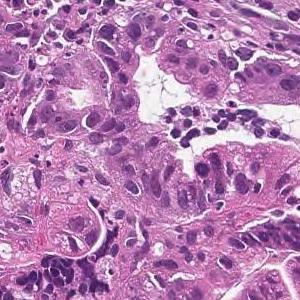
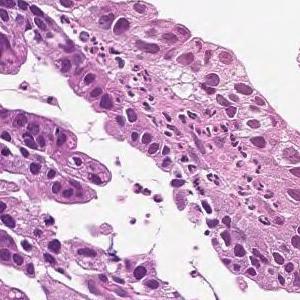
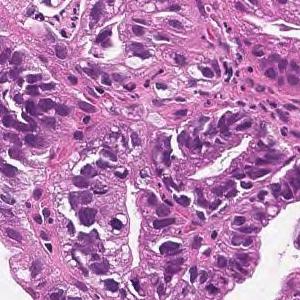
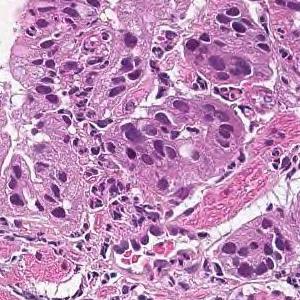
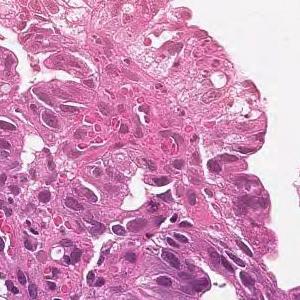
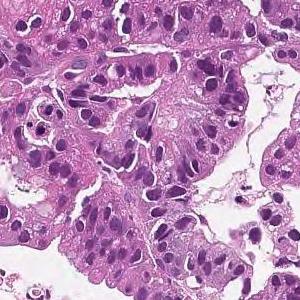
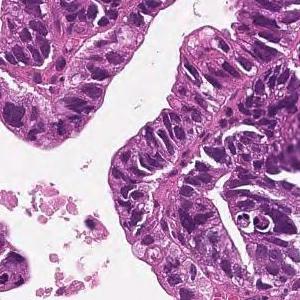
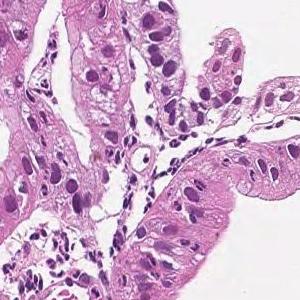
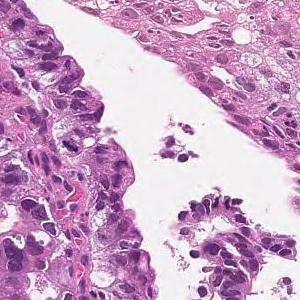
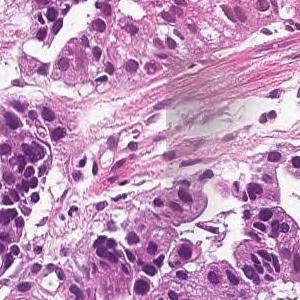
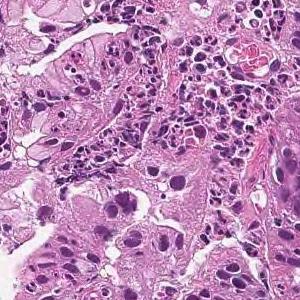
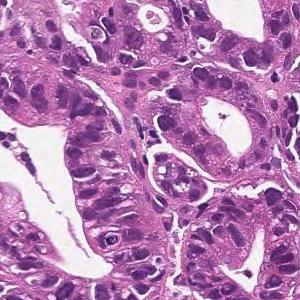
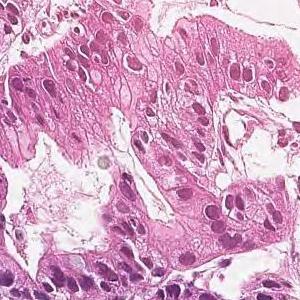
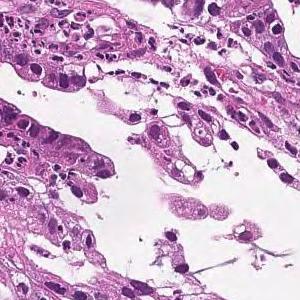
Hematoxylin and eosin stain · ×20 · 14 tiles from the same stomach biopsy slide · 300×300 px each.
Report on the slide these tiles come from. The report and the diagnosis describe the slide as a whole, so these tiles may not show every feature named and may include non-tumor tissue.
On the superficial epithelium, tumor tissue that infiltrates by forming medium-sized papillary or small irregular ducts is observed. Papillary adenocarcinoma
